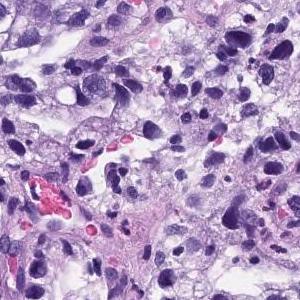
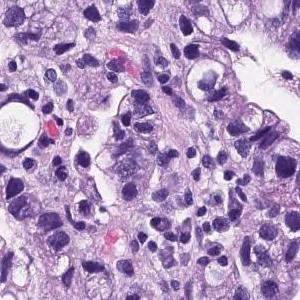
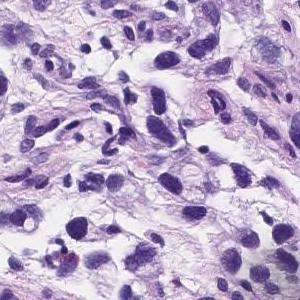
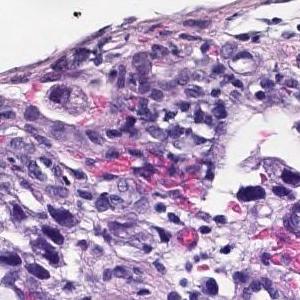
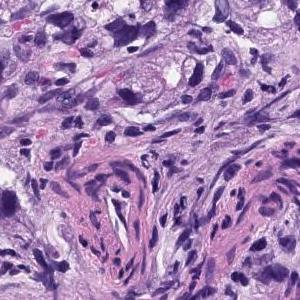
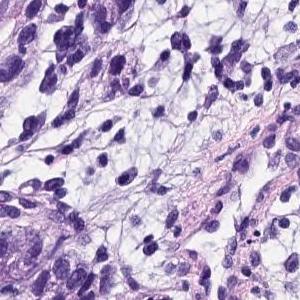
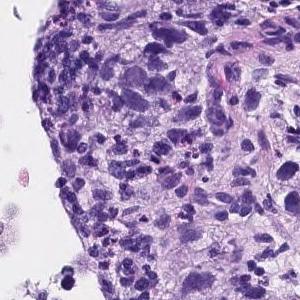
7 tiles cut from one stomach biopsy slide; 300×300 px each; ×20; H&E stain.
Diagnostic report for the slide these tiles come from. The report and the diagnosis describe the slide as a whole, so these tiles may not show every feature named and may include non-tumor tissue.
Medium to small, irregular glandular ducts are formed in the superficial epithelium, and in some cases, the glandular ducts are fused to show solid alveolar lesions and infiltrating tumor tissue is observed. Poorly differentiated adenocarcinoma, Moderately differentiated adenocarcinoma.
Dataset label: moderately differentiated tubular adenocarcinoma.
